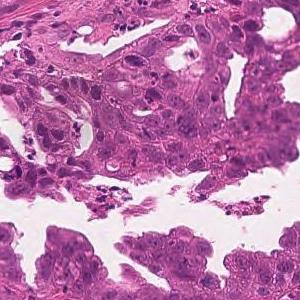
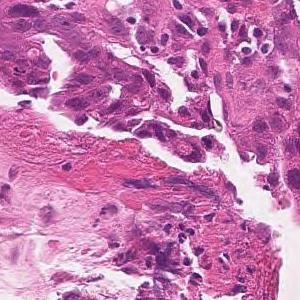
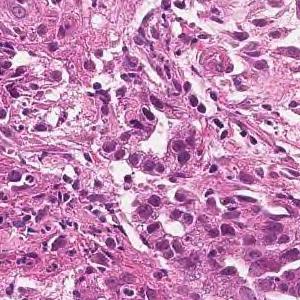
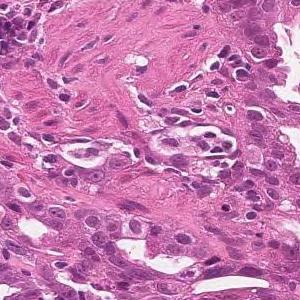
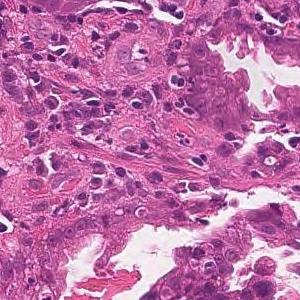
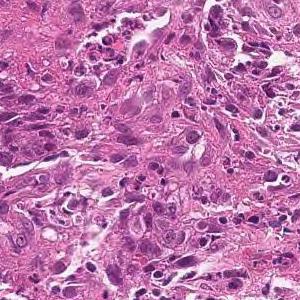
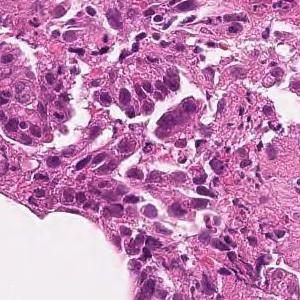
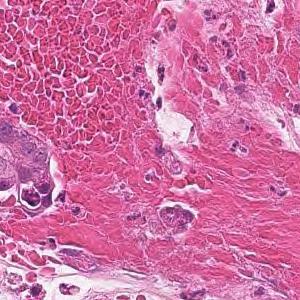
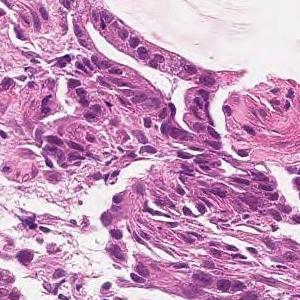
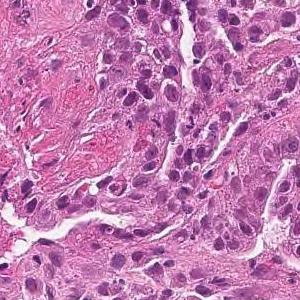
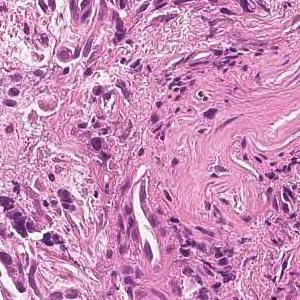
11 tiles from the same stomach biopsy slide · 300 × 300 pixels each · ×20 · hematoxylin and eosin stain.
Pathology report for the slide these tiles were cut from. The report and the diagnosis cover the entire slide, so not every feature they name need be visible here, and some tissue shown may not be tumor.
Tumor tissue consisting of large papillary structures is found in the superficial epithelium. Papillary adenocarcinoma.
